10 image tiles from a single gastric biopsy slide · 300×300 px each · H&E stain.
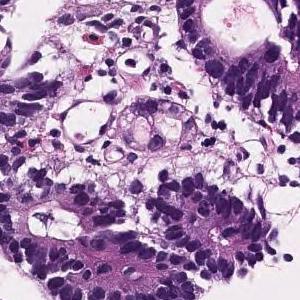
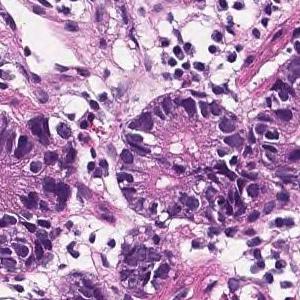
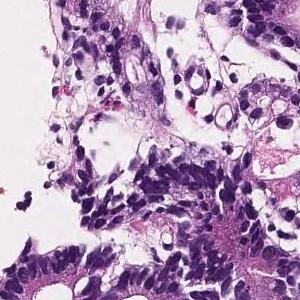
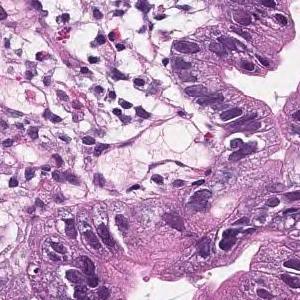
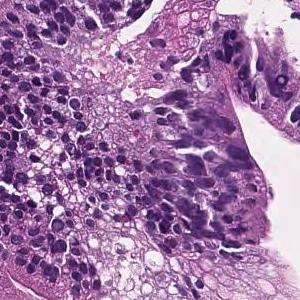
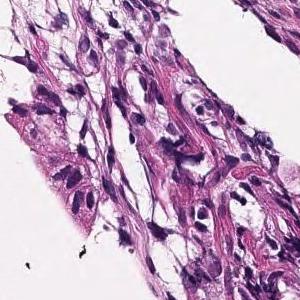
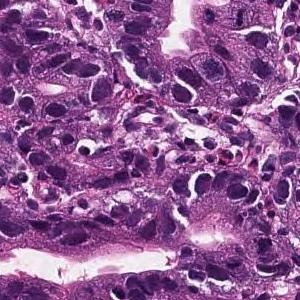
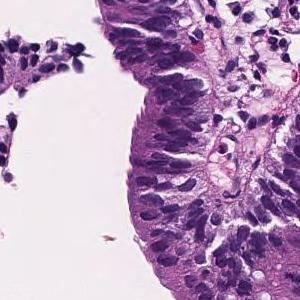
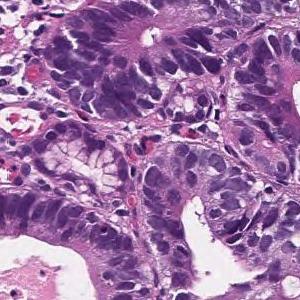
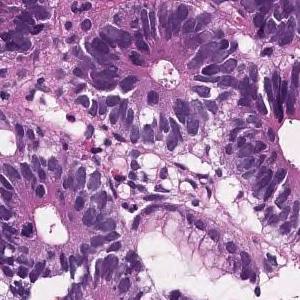
The pathologist's report on the biopsy slide these tiles were taken from. The report and the diagnosis describe the slide as a whole, so these tiles may not show every feature named and may include non-tumor tissue.
On the superficial epithelium, tumor tissue consisting of large, irregular glandular ducts partially fused and infiltrated is observed. Well to moderately differentiated tubular adenocarcinoma (well differentiated tubular adenocarcinoma, moderately differentiated tubular adenocarcinoma)
Classified as well to moderately differentiated tubular adenocarcinoma.
